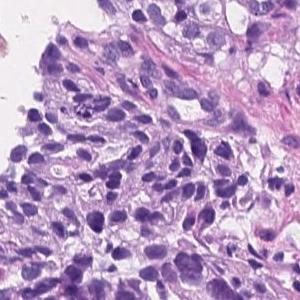
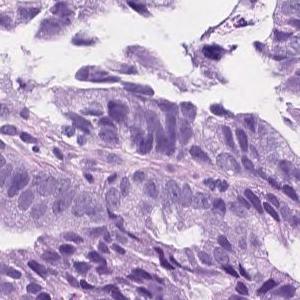
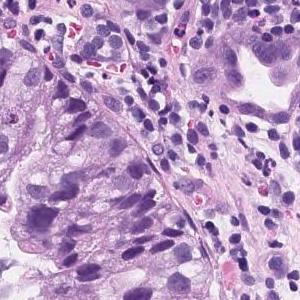
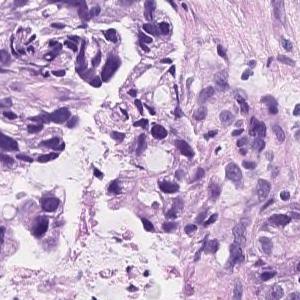
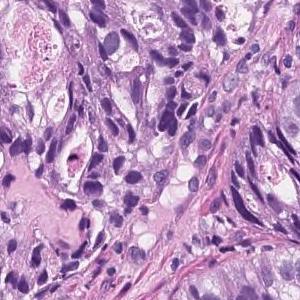
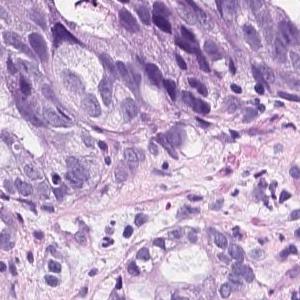
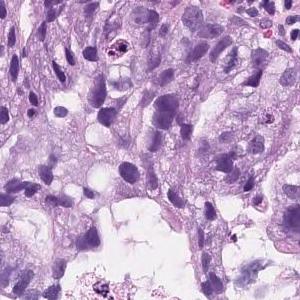
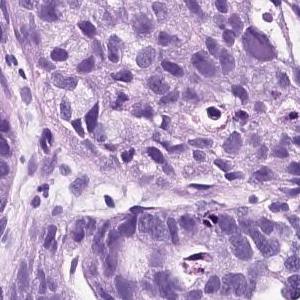
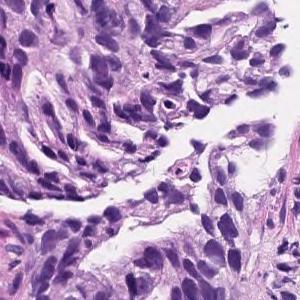
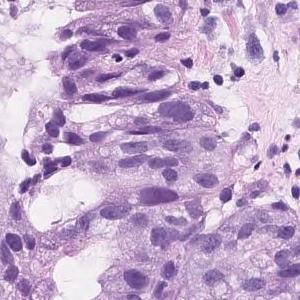
10 image tiles from a single gastric biopsy slide; 300×300 px each; hematoxylin and eosin stain; ×20.
Pathology report for the biopsy slide these tiles were cut from. Both the report and the diagnosis are for the whole slide: these tiles need not show every feature named, and some of the tissue shown may not be tumor.
On the superficial epithelium, tumor tissue consisting of an image of large, irregular glandular ducts partially fused and infiltrated is observed. Well to moderately differentiated tubular adenocarcinoma
